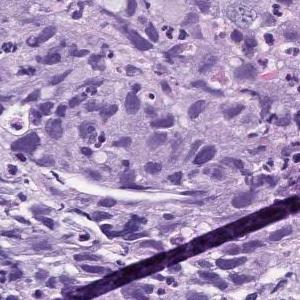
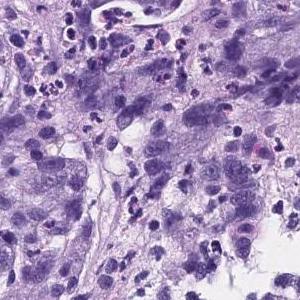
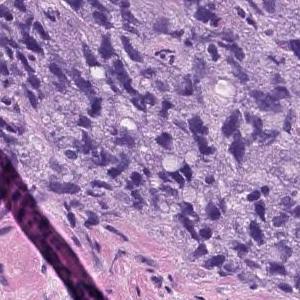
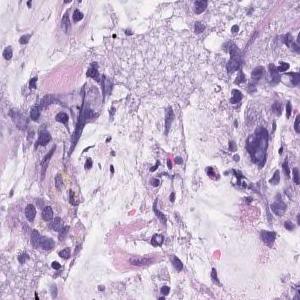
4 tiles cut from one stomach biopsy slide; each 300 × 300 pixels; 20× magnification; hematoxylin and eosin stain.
Pathology report for the biopsy slide these tiles were cut from. The report and the diagnosis cover the entire slide, so not every feature they name need be visible here, and some tissue shown may not be tumor.
Atypical l cells with atypical nuclei forming solid vesicles or small irregular atypical ducts that proliferate in a complex manner. poorly differentiated adenocarcinoma, solid type, moderately differentiated tubular adenocarcinoma
The term "solid type" comes from the Japanese Classification of Gastric Carcinoma; the WHO 2019 equivalent is tubular adenocarcinoma, poorly differentiated.
